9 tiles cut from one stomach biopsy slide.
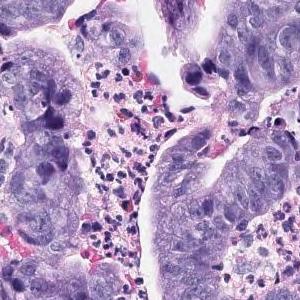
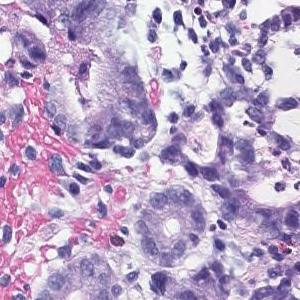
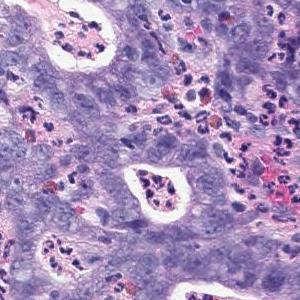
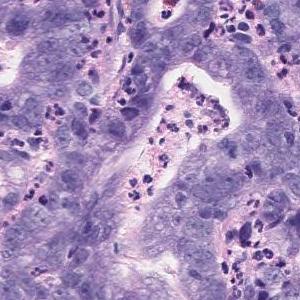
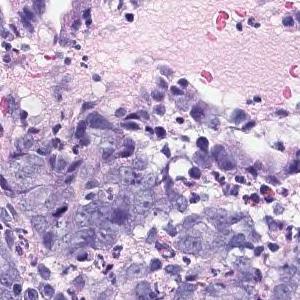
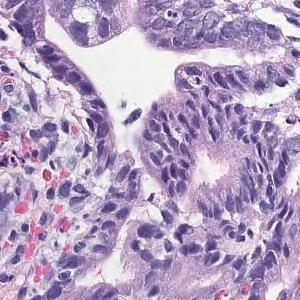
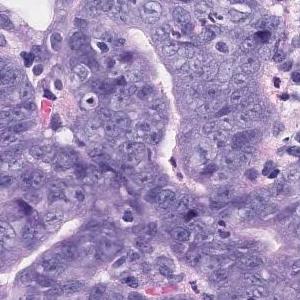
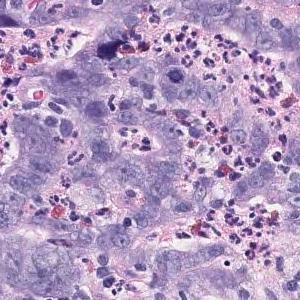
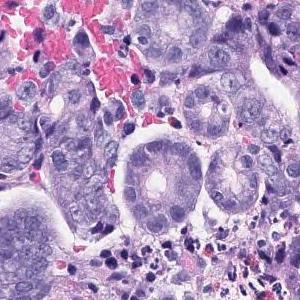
Pathology report for the biopsy slide these tiles were cut from. The report describes the whole slide, diagnosis included: not every finding it names need appear in these tiles, which may also show non-tumor tissue.
In the superficial epithelium, tumor tissue that invades by forming medium-sized to small, irregular ducts is observed. Moderately differentiated adenocarcinoma.
Histologic type: Moderately differentiated tubular adenocarcinoma.
